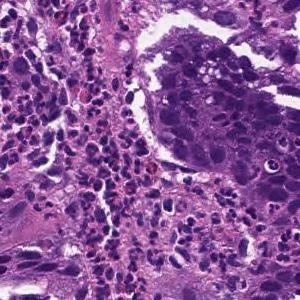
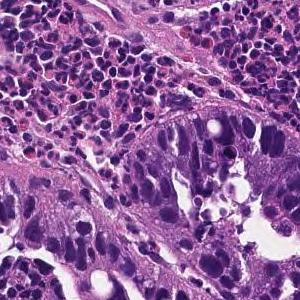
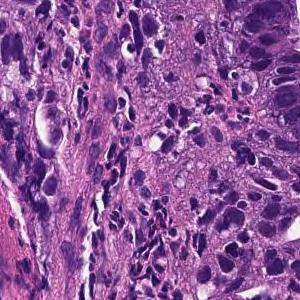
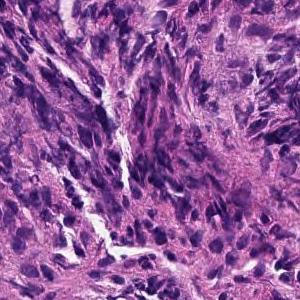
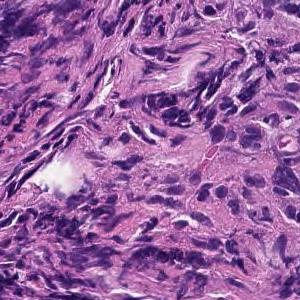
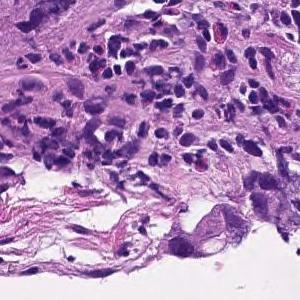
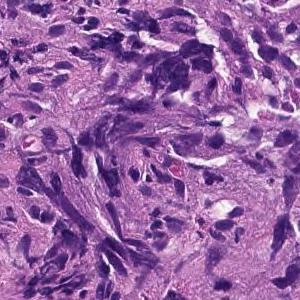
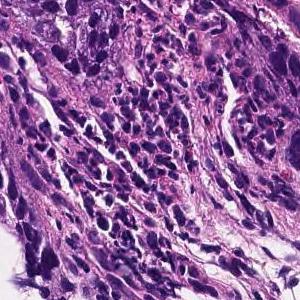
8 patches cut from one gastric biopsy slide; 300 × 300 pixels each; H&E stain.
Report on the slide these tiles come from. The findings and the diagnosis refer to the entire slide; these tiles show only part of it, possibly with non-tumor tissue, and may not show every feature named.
Tumor tissue consisting of large papillary structures is found in the superficial epithelium. Papillary adenocarcinoma.
